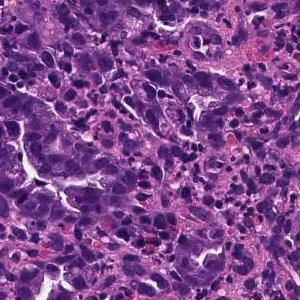
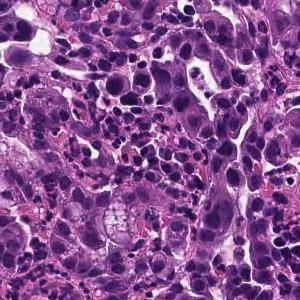
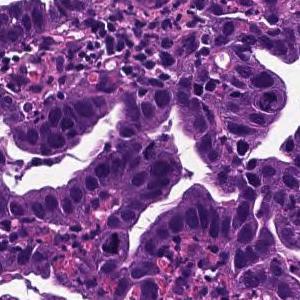
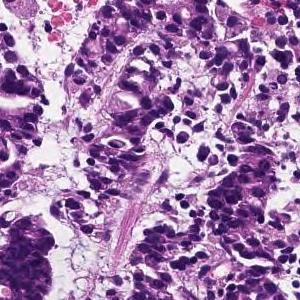
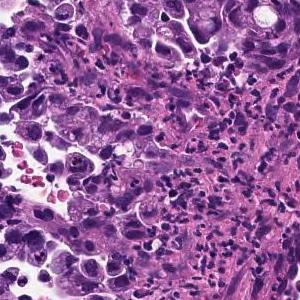
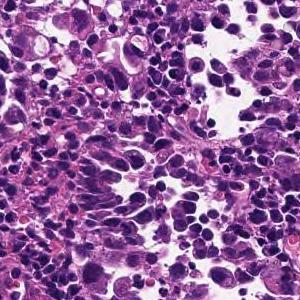
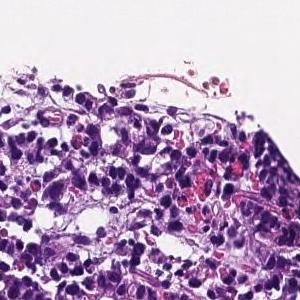
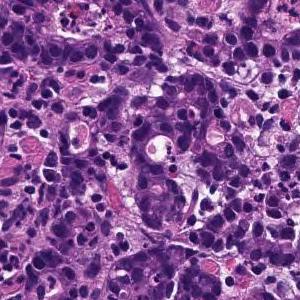
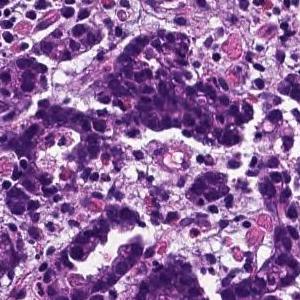
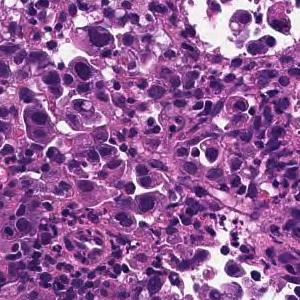
10 image tiles from a single gastric biopsy slide, ×20, hematoxylin and eosin stain.
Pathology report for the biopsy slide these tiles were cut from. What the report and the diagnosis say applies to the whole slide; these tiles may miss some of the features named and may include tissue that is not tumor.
In the superficial epithelium, tumor tissue that invades by forming medium-sized to small, irregular ducts is observed. moderately differentiated tubular adenocarcinoma.
